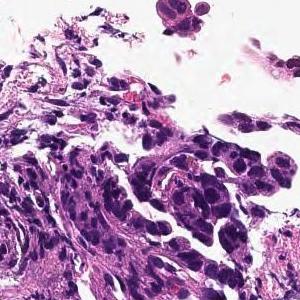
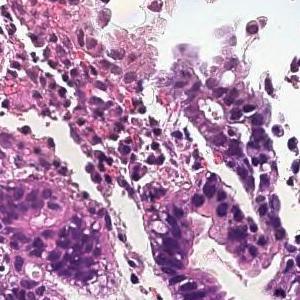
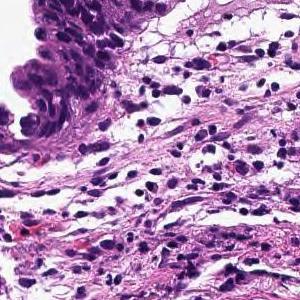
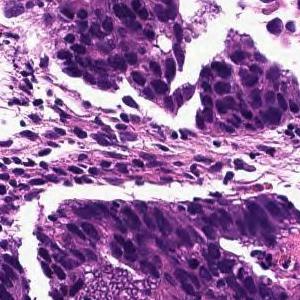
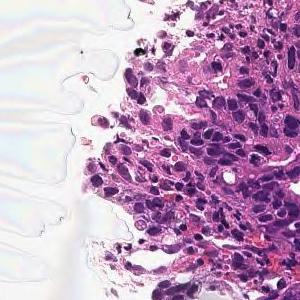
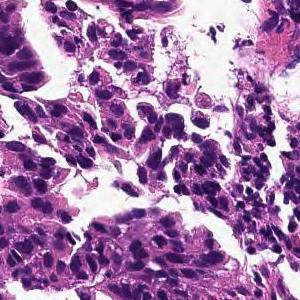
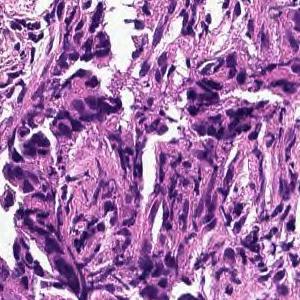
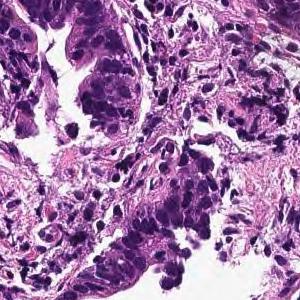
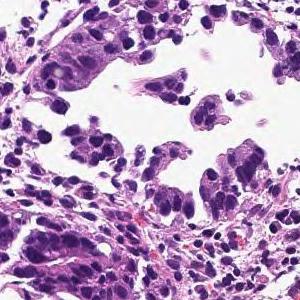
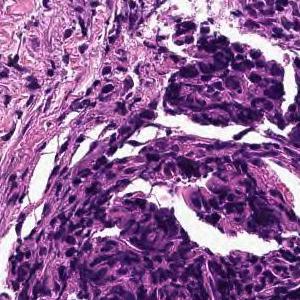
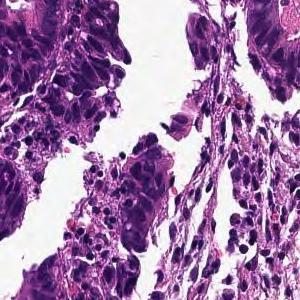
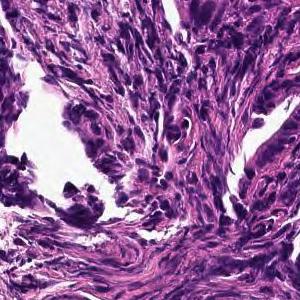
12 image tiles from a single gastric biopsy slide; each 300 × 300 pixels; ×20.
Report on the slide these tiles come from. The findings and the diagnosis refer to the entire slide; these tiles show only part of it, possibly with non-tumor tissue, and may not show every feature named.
In the superficial epithelium, tumor tissue that invades by forming medium-sized to small, irregular ducts is observed. moderately differentiated tubular adenocarcinoma.
